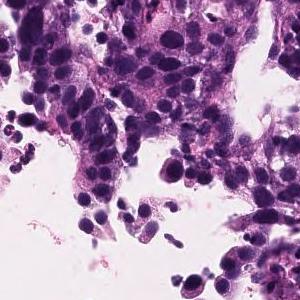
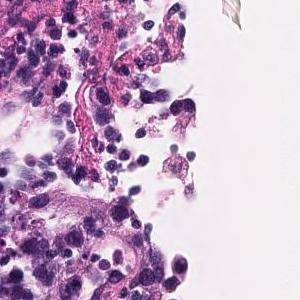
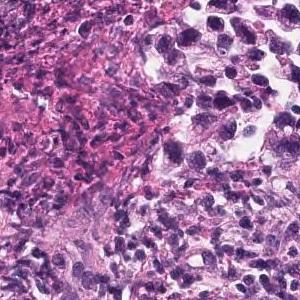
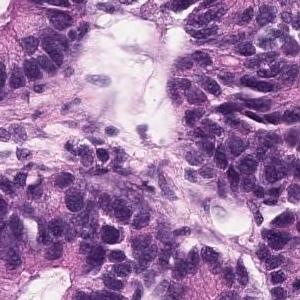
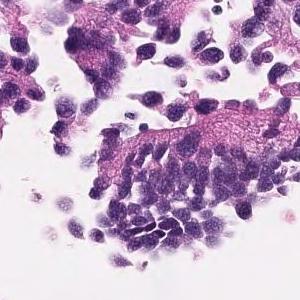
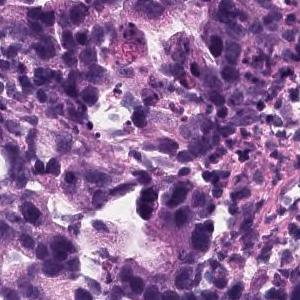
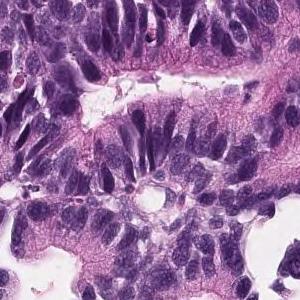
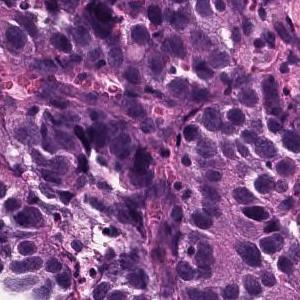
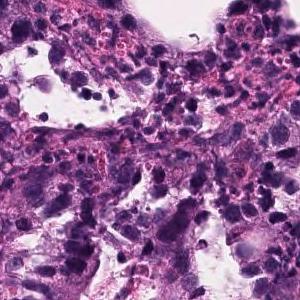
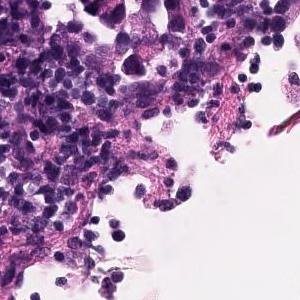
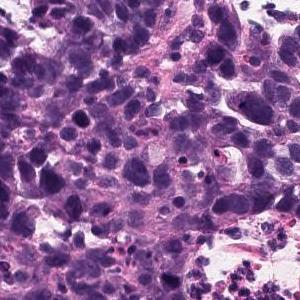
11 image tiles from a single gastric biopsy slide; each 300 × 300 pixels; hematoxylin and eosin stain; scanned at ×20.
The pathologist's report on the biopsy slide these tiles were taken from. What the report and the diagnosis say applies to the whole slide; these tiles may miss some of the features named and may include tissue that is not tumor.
In the superficial epithelium, tumor tissue that invades by forming medium-sized to small, irregular ducts is observed. moderately differentiated tubular adenocarcinoma.
